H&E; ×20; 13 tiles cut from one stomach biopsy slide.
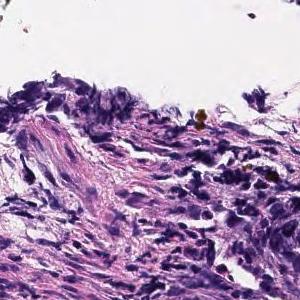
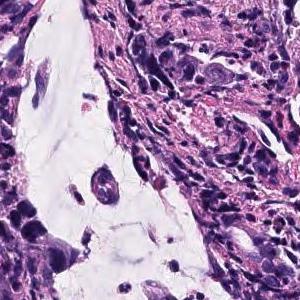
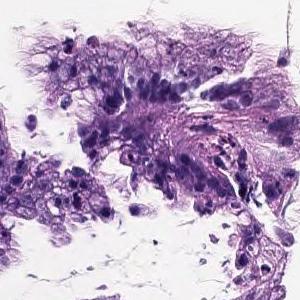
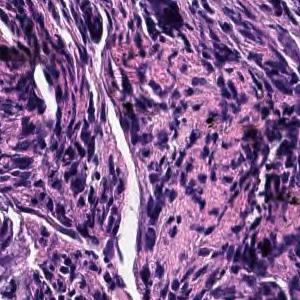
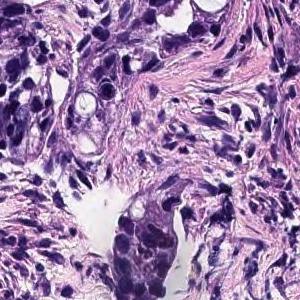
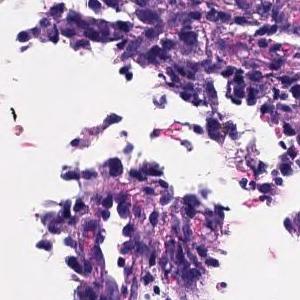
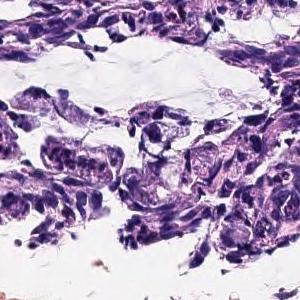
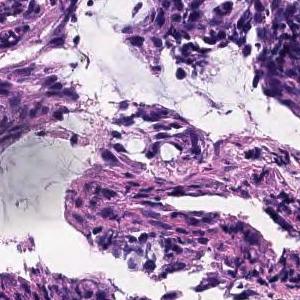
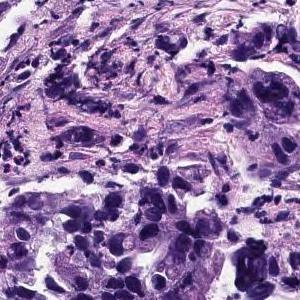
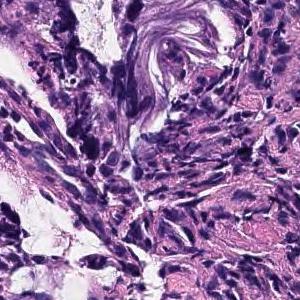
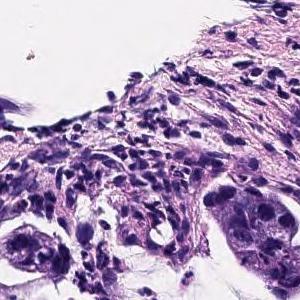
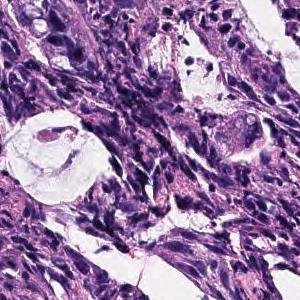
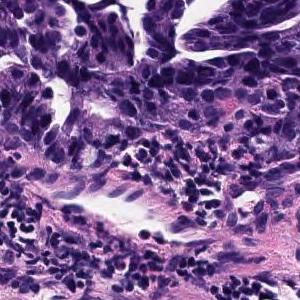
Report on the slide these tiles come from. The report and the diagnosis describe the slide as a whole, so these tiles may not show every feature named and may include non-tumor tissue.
The superficial epithelium shows small cord-like infiltrating tumor tissue. Some part of neoplastic cells are signet ring cell type which show single invasion manner. Poorly differentiated adenocarcinoma, non-solid type.
"Non-solid type" is a category of the Japanese Classification of Gastric Carcinoma.
